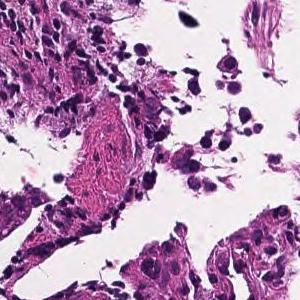
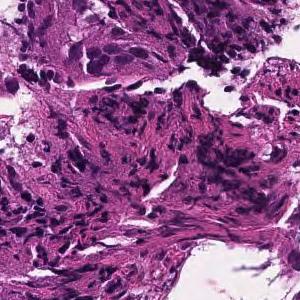
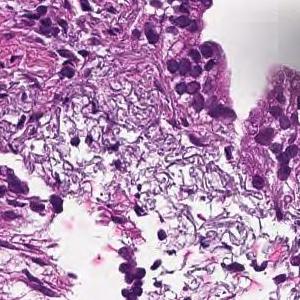
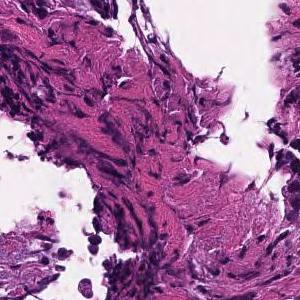
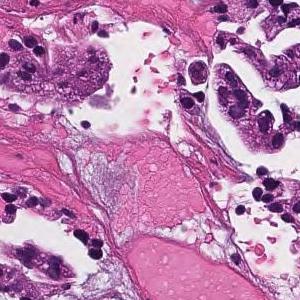
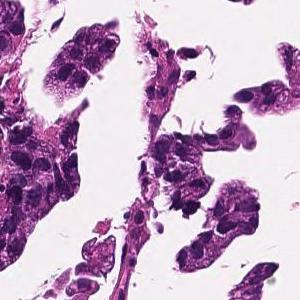
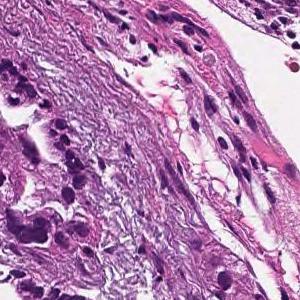
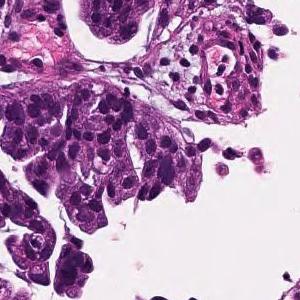
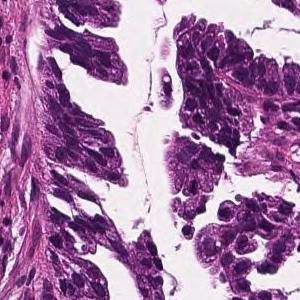
9 tiles from the same stomach biopsy slide; 300 × 300 pixels each; H&E stain.
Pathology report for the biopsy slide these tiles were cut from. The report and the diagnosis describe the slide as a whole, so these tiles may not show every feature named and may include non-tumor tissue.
Tumor cells are large, highly columnar, large club-shaped nuclei, and are associated with chromatin aggregation. Papillary adenocarcinoma.
